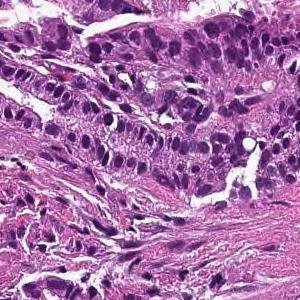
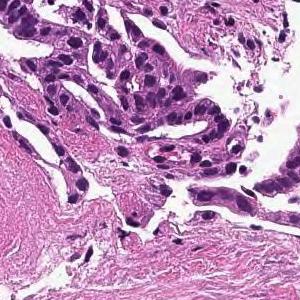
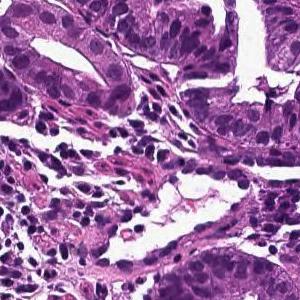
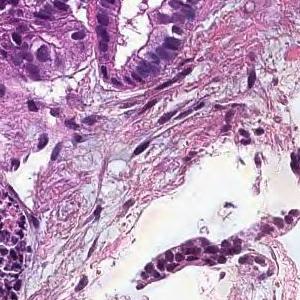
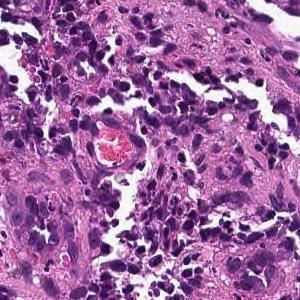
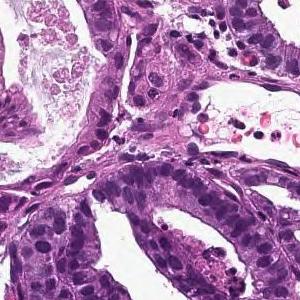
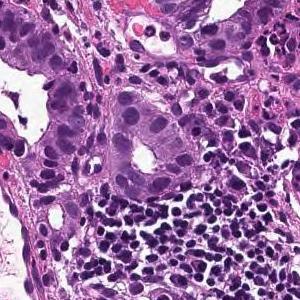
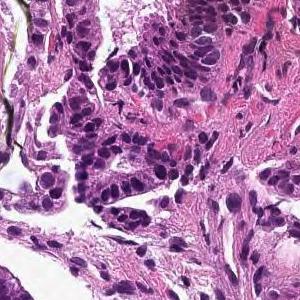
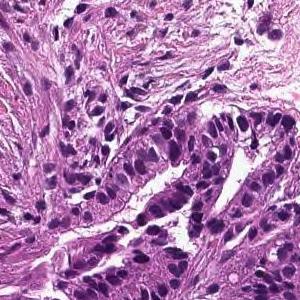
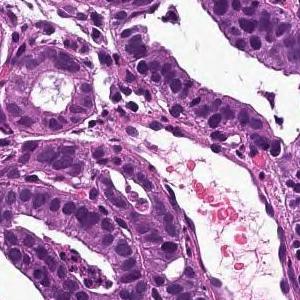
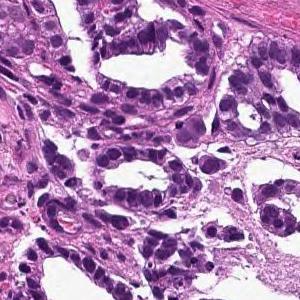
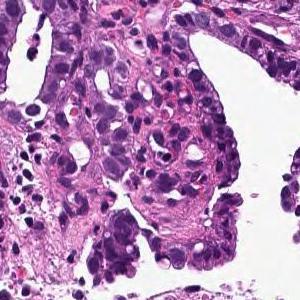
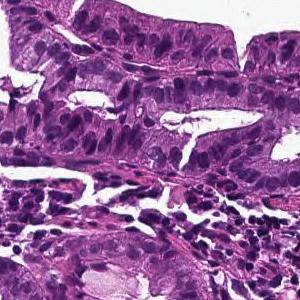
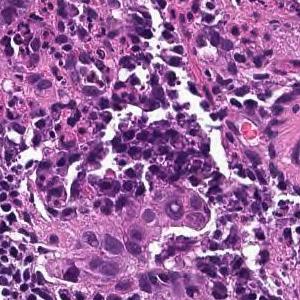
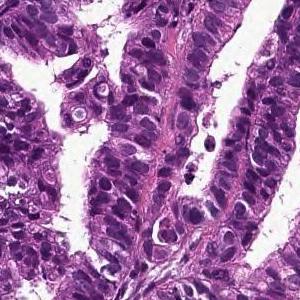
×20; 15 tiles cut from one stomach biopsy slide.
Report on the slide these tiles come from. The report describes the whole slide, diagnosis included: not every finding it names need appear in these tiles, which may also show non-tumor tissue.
Tumor cells are large, highly columnar, large club-shaped nuclei, and are associated with chromatin aggregation. Papillary adenocarcinoma.
